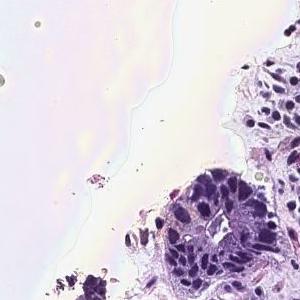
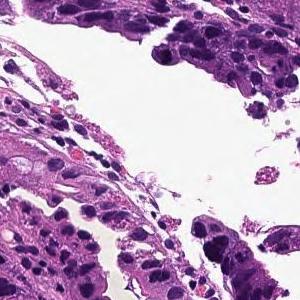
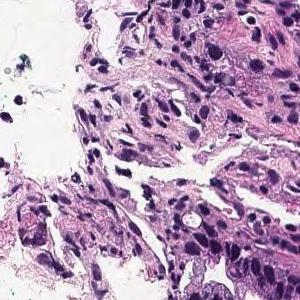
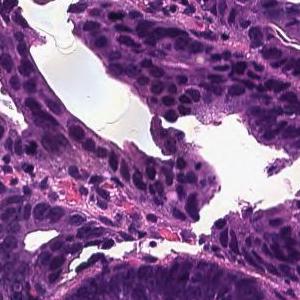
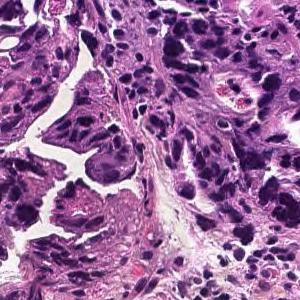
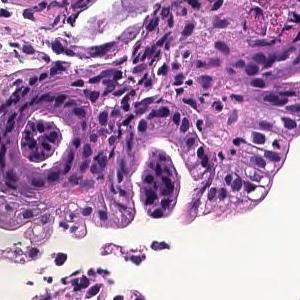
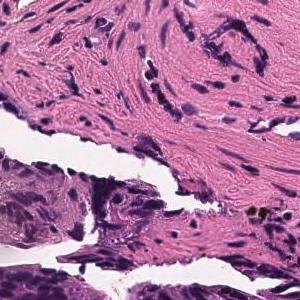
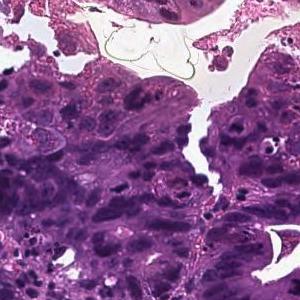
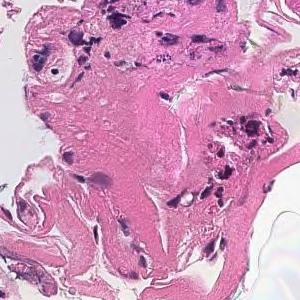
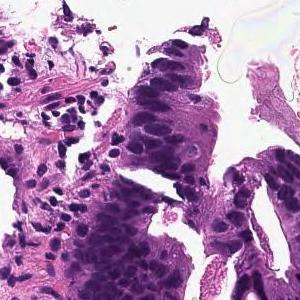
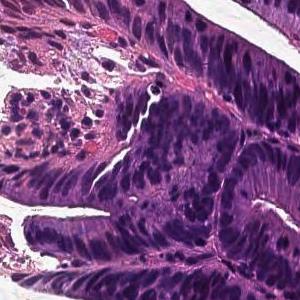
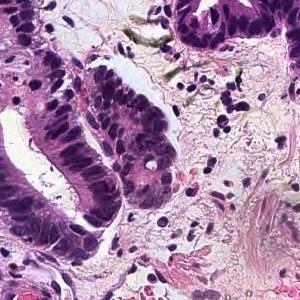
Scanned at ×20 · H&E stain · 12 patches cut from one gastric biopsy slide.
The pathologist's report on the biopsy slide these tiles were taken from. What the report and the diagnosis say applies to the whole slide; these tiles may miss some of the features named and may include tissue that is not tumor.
In the superficial epithelium, tumor tissue that invades by forming medium-sized to small, irregular ducts is observed. moderately differentiated tubular adenocarcinoma.
